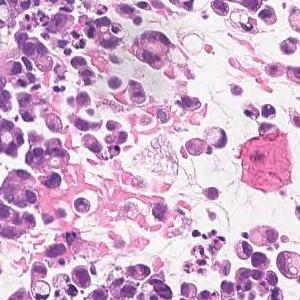
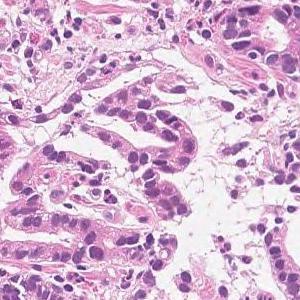
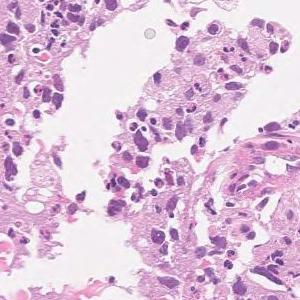
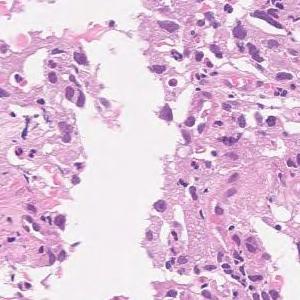
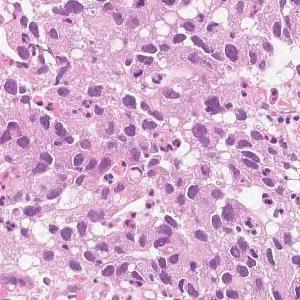
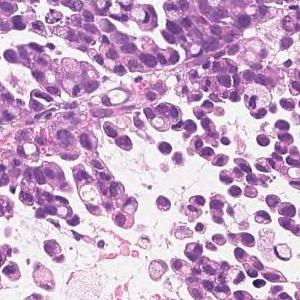
6 tiles cut from one stomach biopsy slide; 300 × 300 pixels each; ×20; H&E.
Report on the slide these tiles come from. Both the report and the diagnosis are for the whole slide: these tiles need not show every feature named, and some of the tissue shown may not be tumor.
Medium to small, irregular glandular ducts are formed in the superficial epithelium, and in some cases, the glandular ducts are fused to show solid alveolar lesions and infiltrating tumor tissue is observed. Moderately to poorly differentiated adenocarcinoma.
